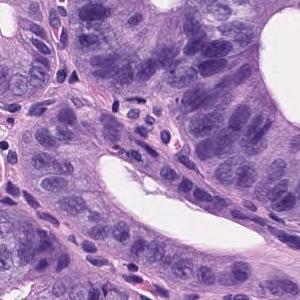
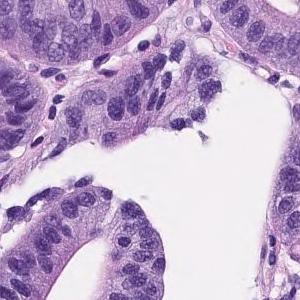
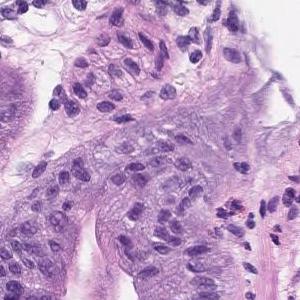
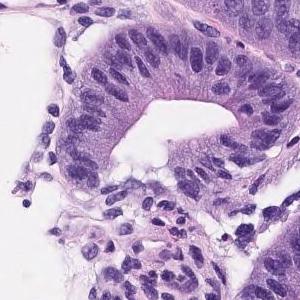
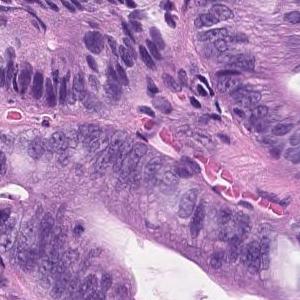
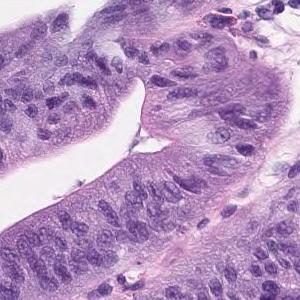
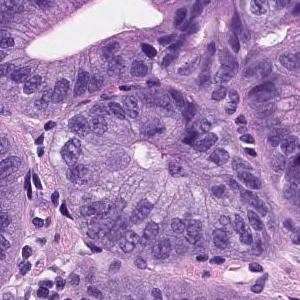
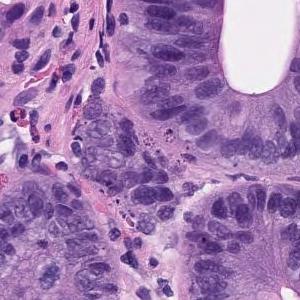
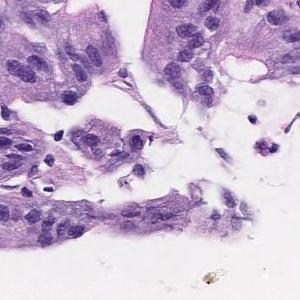
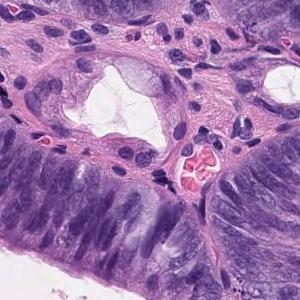
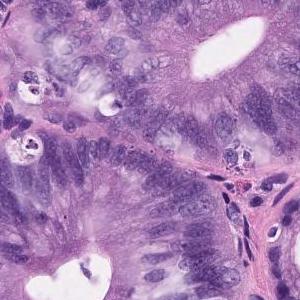
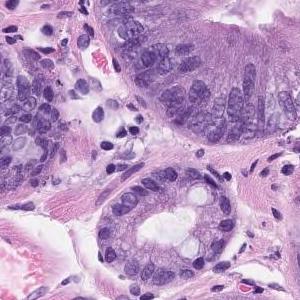
12 tiles from the same stomach biopsy slide, H&E stain, 20× magnification.
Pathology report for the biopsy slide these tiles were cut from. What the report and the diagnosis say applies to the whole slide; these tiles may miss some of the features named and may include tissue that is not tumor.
On the superficial epithelium, tumor tissue consisting of images of atypical ducts of different sizes partially fused and densely proliferating is observed. Well differentiated tubular adenocarcinoma
